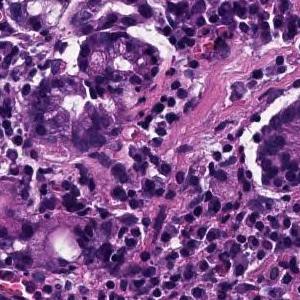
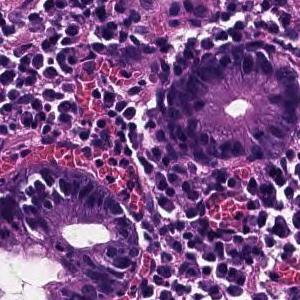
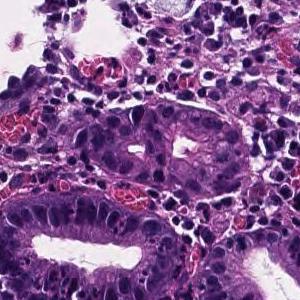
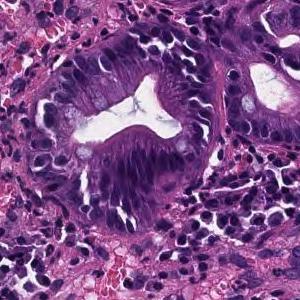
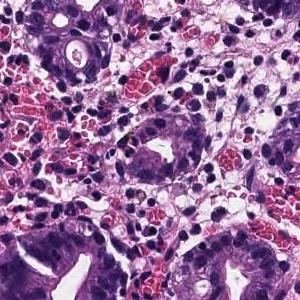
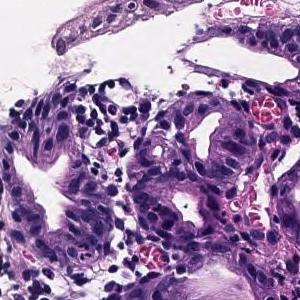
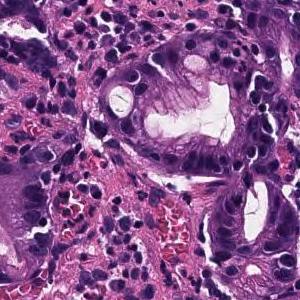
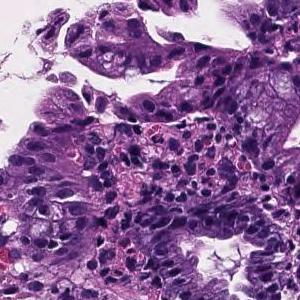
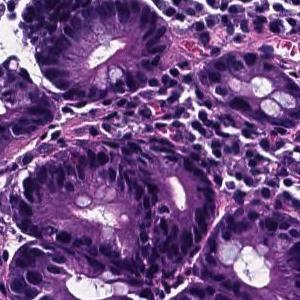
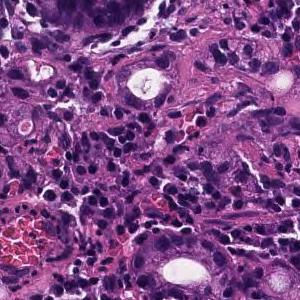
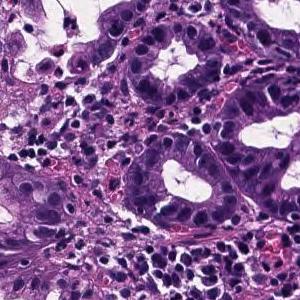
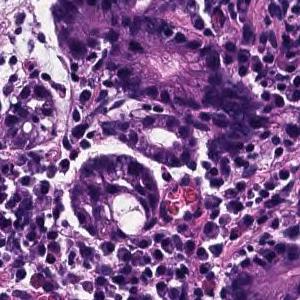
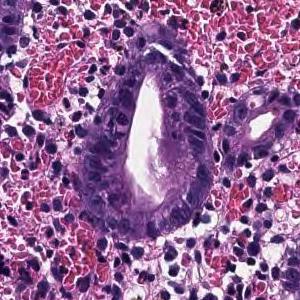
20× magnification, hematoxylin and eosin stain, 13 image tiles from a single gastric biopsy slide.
Diagnostic report for the slide these tiles come from. The findings and the diagnosis refer to the entire slide; these tiles show only part of it, possibly with non-tumor tissue, and may not show every feature named.
In the superficial epithelium, tumor tissue that invades by forming medium-sized to small, irregular ducts is observed. moderately differentiated tubular adenocarcinoma.
